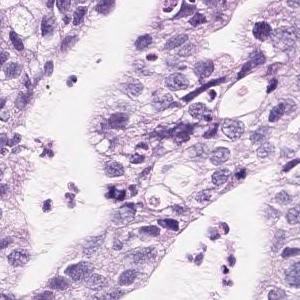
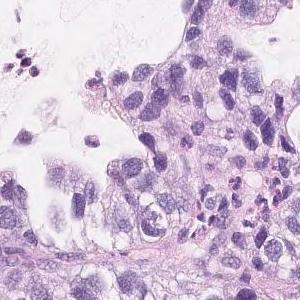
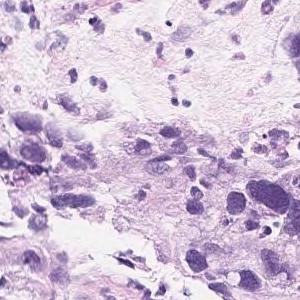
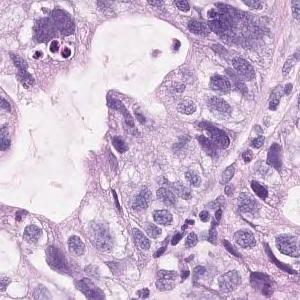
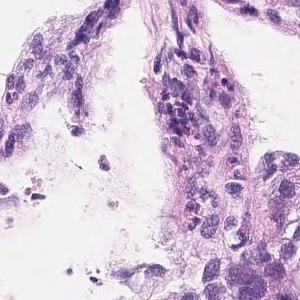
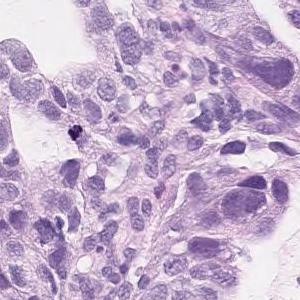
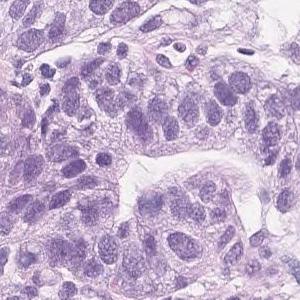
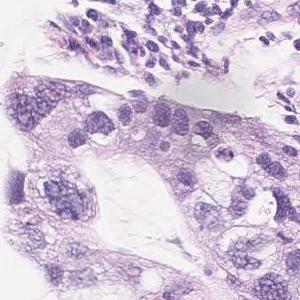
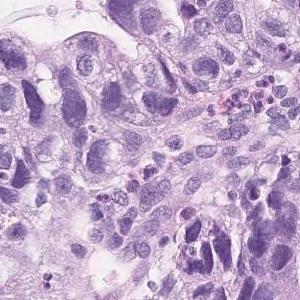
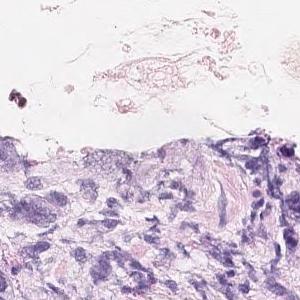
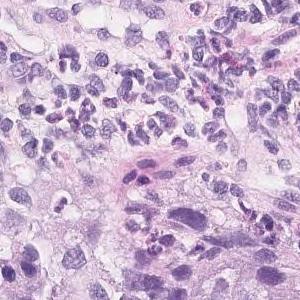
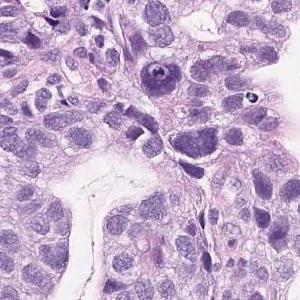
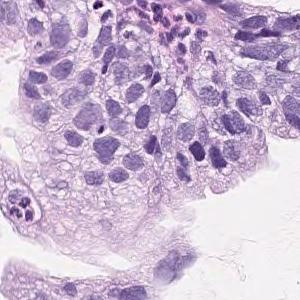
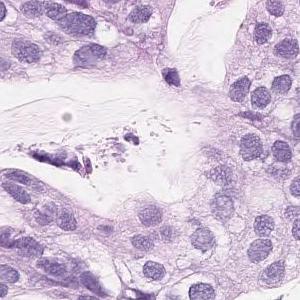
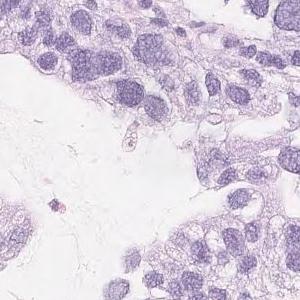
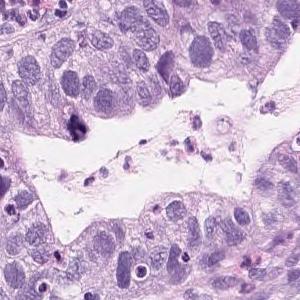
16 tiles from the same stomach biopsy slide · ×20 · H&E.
Pathology report for the slide these tiles were cut from. The report describes the whole slide, diagnosis included: not every finding it names need appear in these tiles, which may also show non-tumor tissue.
On the superficial epithelium, tumor tissue consisting of large, irregular glandular ducts partially fused and infiltrated is observed. Well to moderately differentiated tubular adenocarcinoma (well differentiated tubular adenocarcinoma, moderately differentiated tubular adenocarcinoma)
Histologic type: Well to moderately differentiated tubular adenocarcinoma.
